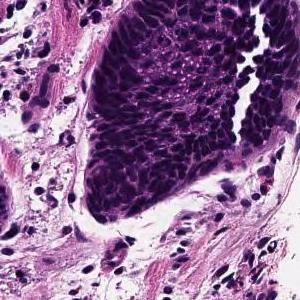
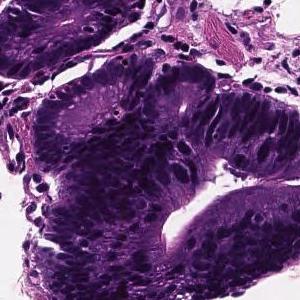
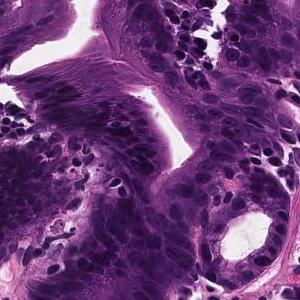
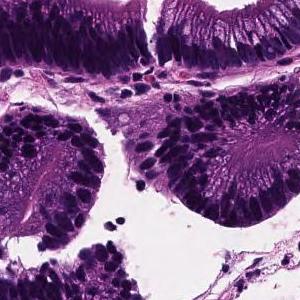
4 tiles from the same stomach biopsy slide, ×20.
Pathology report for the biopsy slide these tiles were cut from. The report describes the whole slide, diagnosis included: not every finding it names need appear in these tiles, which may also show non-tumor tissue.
Tumor cells are large, highly columnar, large club-shaped nuclei, and are associated with chromatin aggregation. Papillary adenocarcinoma.
